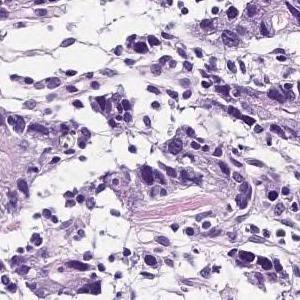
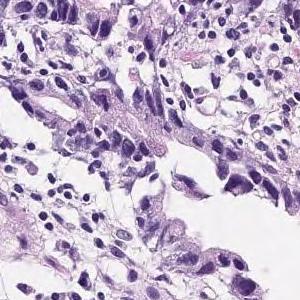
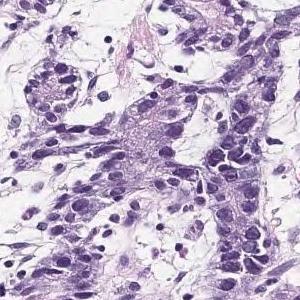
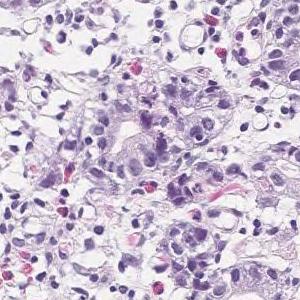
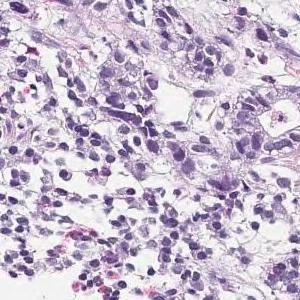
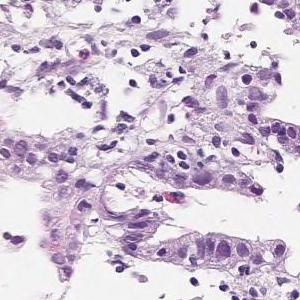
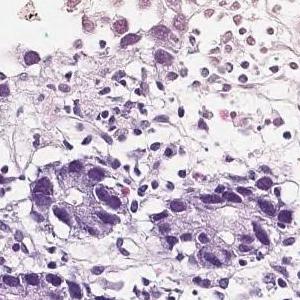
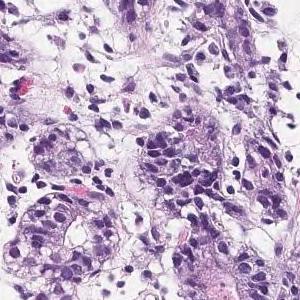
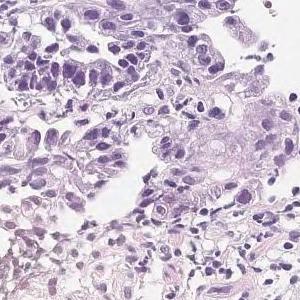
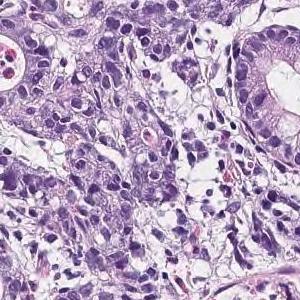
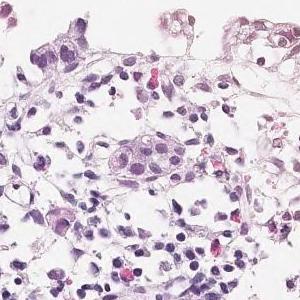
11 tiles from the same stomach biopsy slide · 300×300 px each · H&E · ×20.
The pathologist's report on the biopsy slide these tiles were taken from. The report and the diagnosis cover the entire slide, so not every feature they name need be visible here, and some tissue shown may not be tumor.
Well-differentiated tubular adenocarcinoma that grows with some small irregular ducts fused to the superficial epithelium. Well differentiated tubular adenocarcinoma
